×20; H&E; 13 patches cut from one gastric biopsy slide.
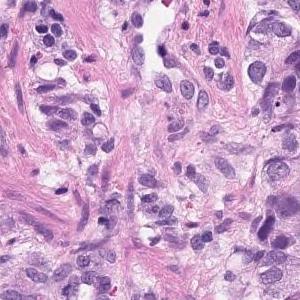
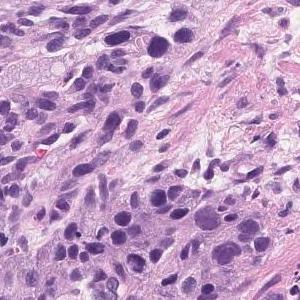
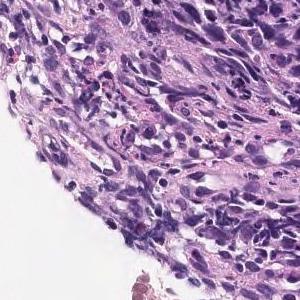
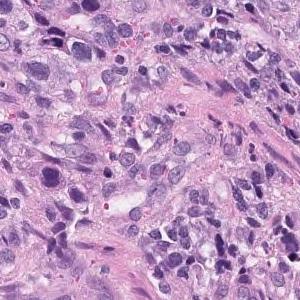
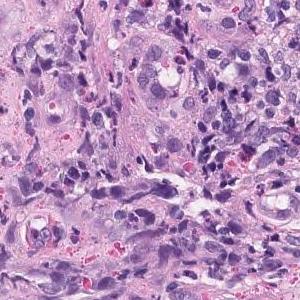
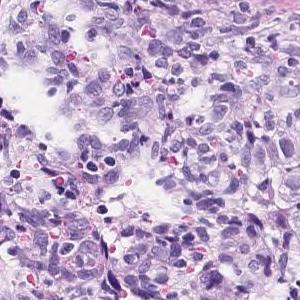
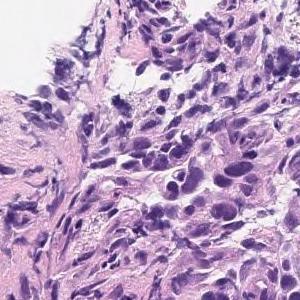
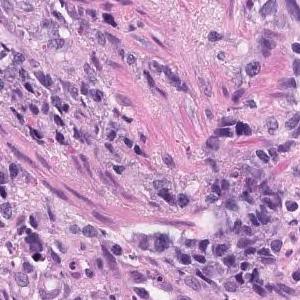
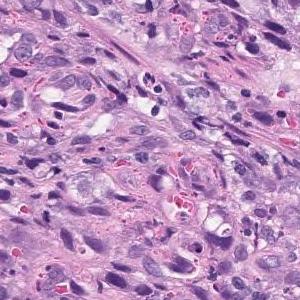
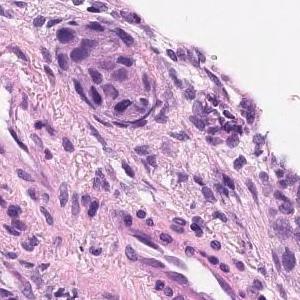
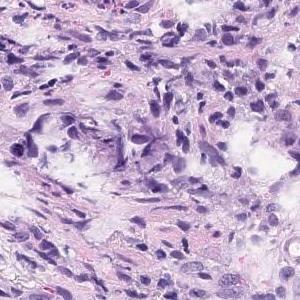
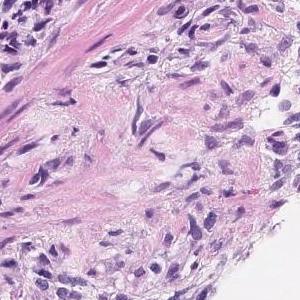
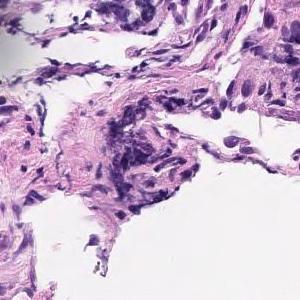
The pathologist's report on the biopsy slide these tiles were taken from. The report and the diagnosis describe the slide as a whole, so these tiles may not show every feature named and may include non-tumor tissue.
Group 5, Moderately differentiated adenocarcinoma
Histological subtype: Moderately differentiated tubular adenocarcinoma.
